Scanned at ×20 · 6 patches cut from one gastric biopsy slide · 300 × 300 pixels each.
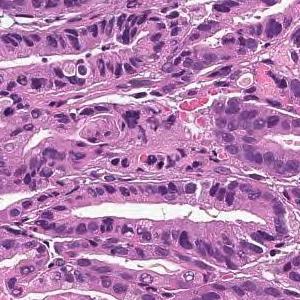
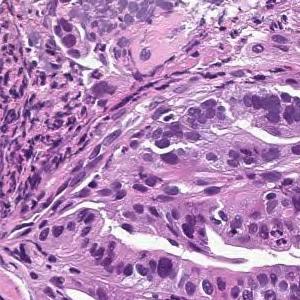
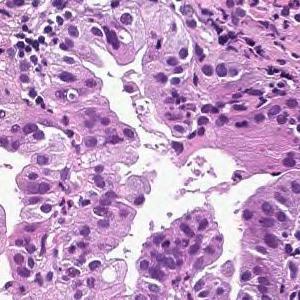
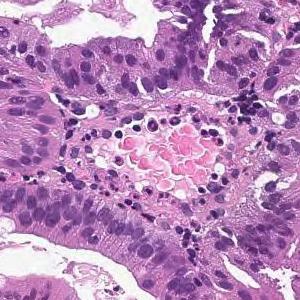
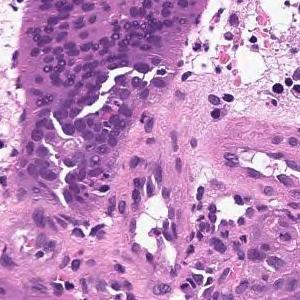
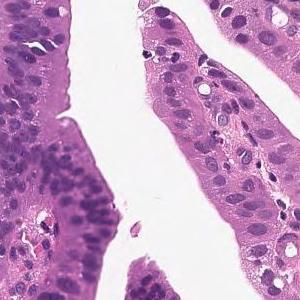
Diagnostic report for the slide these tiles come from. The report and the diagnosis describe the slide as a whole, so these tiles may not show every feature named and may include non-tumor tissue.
From the superficial epithelium to the muscularis mucosae, tumor tissue consisting of medium-sized and irregular glandular ducts infiltrating is observed. Well differentiated tubular adenocarcinoma
